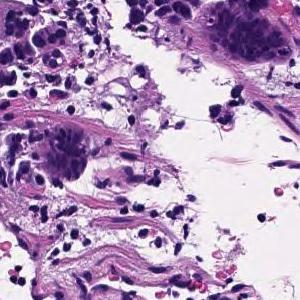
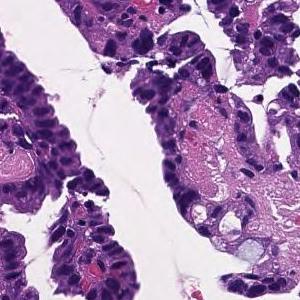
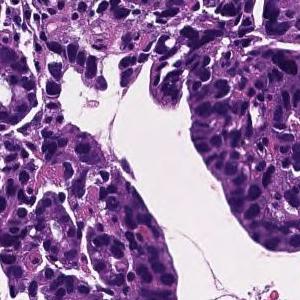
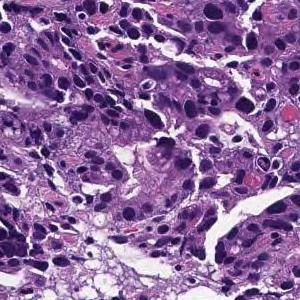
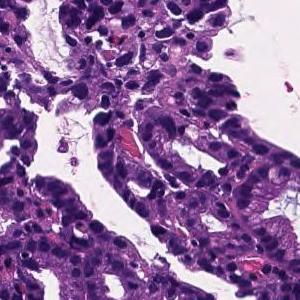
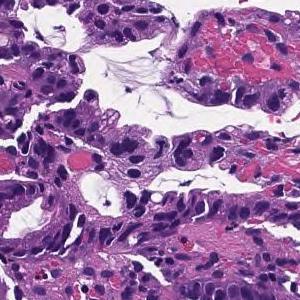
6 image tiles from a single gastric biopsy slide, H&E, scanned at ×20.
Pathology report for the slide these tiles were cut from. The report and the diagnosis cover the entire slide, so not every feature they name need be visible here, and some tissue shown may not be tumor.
Tumor cells are large, highly columnar, large club-shaped nuclei, and are associated with chromatin aggregation. Papillary adenocarcinoma.
